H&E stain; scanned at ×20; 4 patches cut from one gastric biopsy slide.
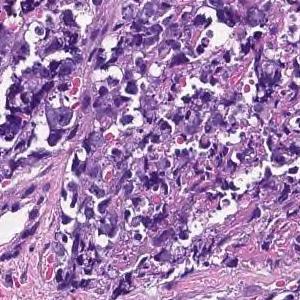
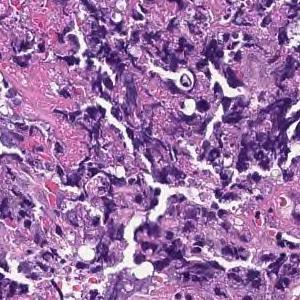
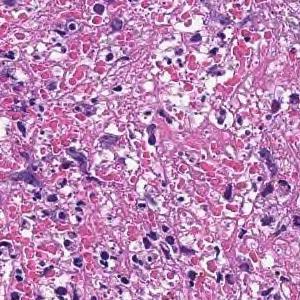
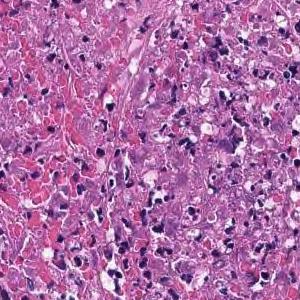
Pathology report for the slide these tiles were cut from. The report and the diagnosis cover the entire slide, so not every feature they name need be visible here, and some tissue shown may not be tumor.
Most are composed of coagulative necrotic tissue, but some show a large sheet-like shape, and some show tumor tissue infiltrating with a small cord-like structure. Poorly differentiated adenocarcinoma, solid-type
Histological subtype: Poorly differentiated adenocarcinoma, solid type. This name comes from the Japanese Classification of Gastric Carcinoma; the WHO 2019 classification calls it tubular adenocarcinoma, poorly differentiated.
